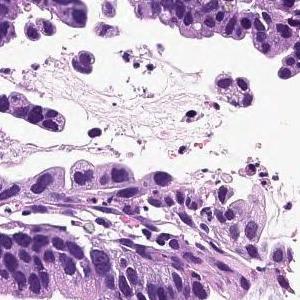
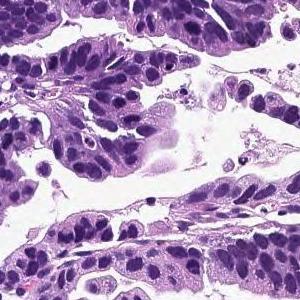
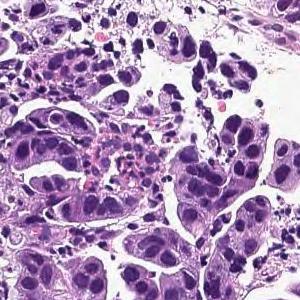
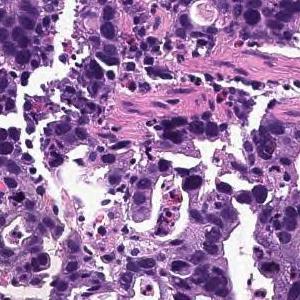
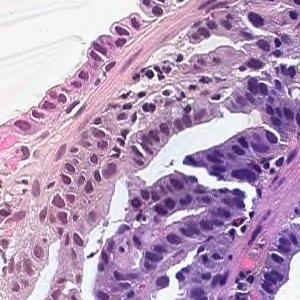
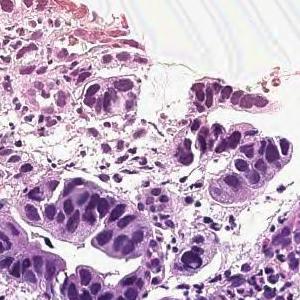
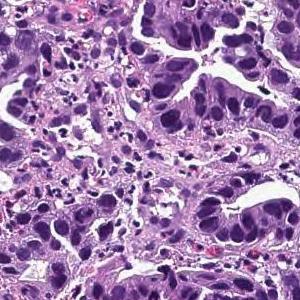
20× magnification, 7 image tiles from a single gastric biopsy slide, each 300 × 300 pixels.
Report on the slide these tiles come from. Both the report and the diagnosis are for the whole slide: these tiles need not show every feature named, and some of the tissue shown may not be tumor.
On the superficial epithelium, tumor tissue consisting of large irregular glandular ducts partially fused and infiltrated is observed. Well to moderately differentiated tubular adenocarcinoma (well differentiated tubular adenocarcinoma, moderately differentiated tubular adenocarcinoma)
Histologic type: Well to moderately differentiated tubular adenocarcinoma.
